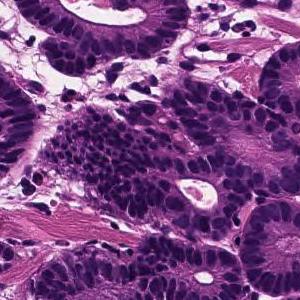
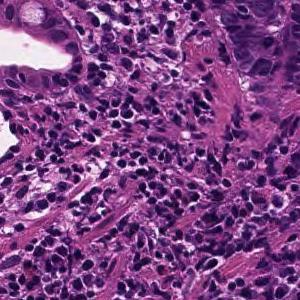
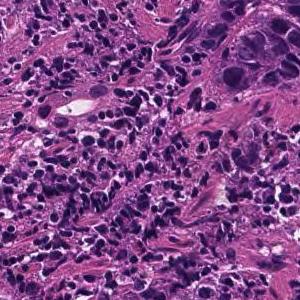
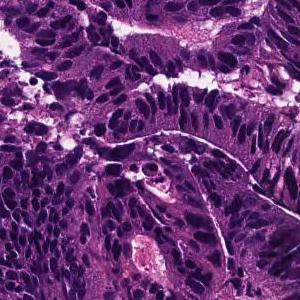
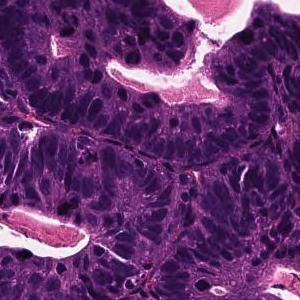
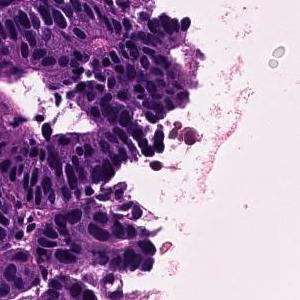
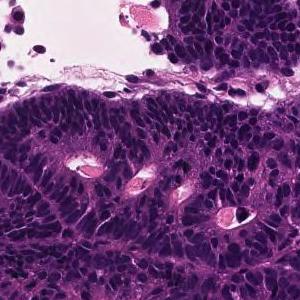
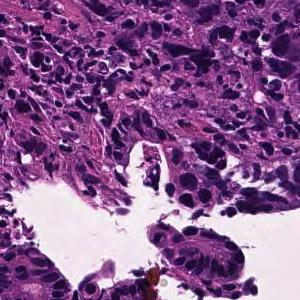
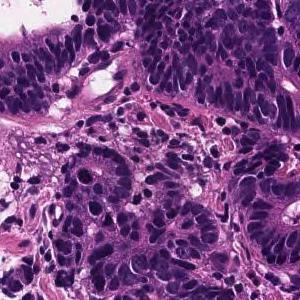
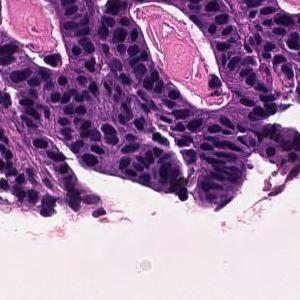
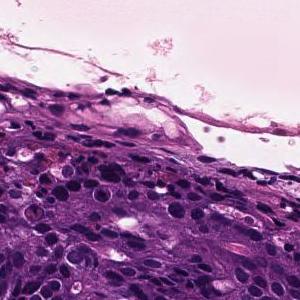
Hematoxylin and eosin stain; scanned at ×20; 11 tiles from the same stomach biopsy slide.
Report on the slide these tiles come from. The report describes the whole slide, diagnosis included: not every finding it names need appear in these tiles, which may also show non-tumor tissue.
In the superficial epithelium, tumor tissue that invades by forming medium-sized to small, irregular ducts is observed. moderately differentiated tubular adenocarcinoma.
